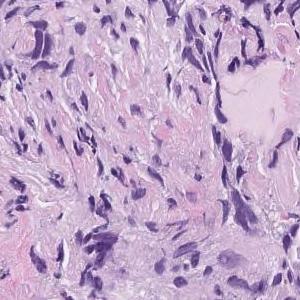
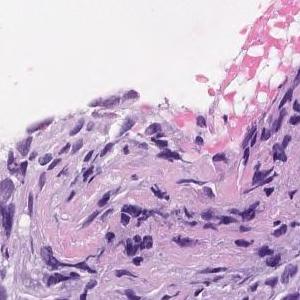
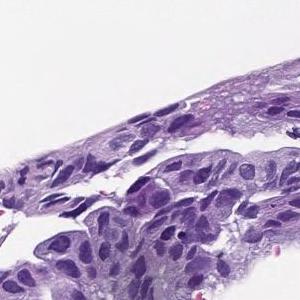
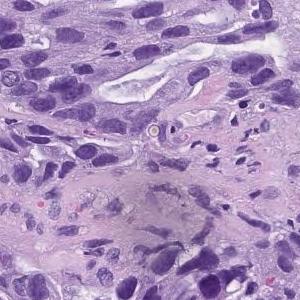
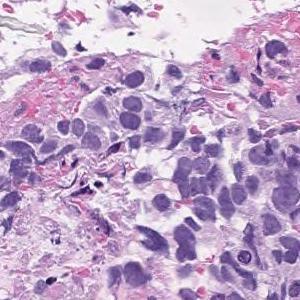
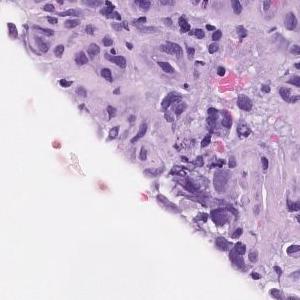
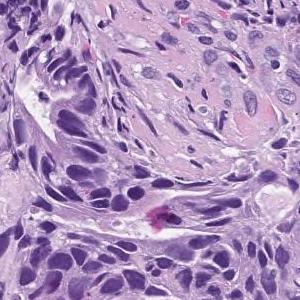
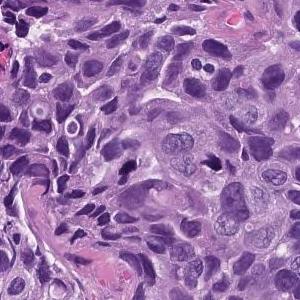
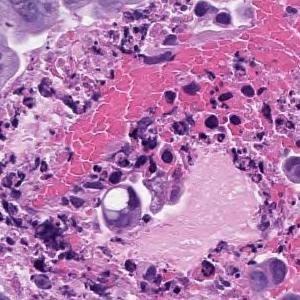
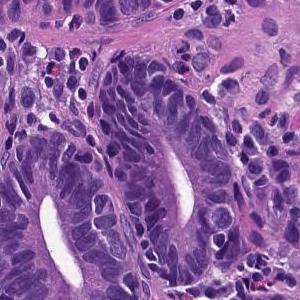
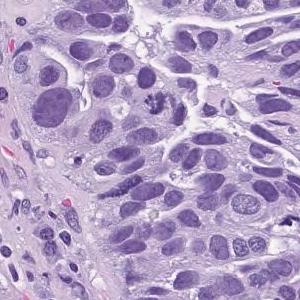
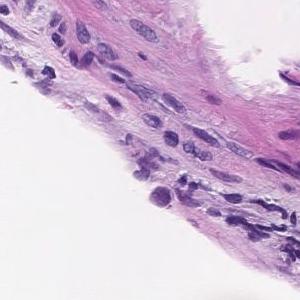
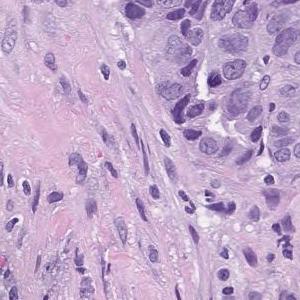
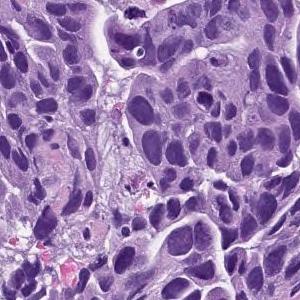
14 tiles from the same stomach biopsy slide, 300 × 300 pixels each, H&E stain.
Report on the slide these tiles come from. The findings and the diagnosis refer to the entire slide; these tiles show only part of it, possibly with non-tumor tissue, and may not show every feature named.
In the superficial epithelium, tumor tissue that invades by forming medium-sized to small, irregular ducts is observed. moderately differentiated tubular adenocarcinoma.
